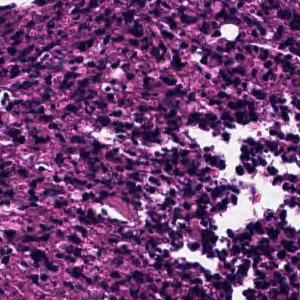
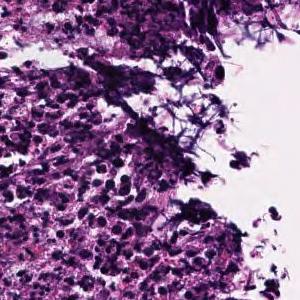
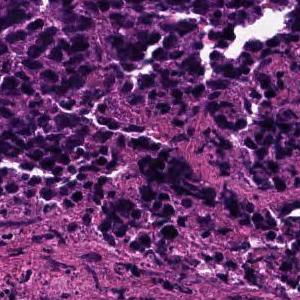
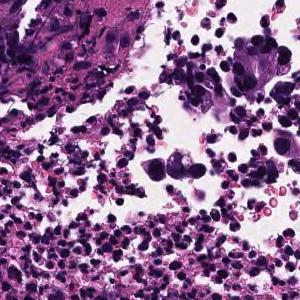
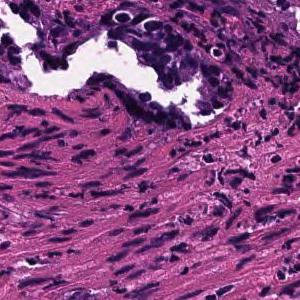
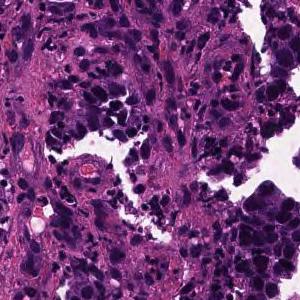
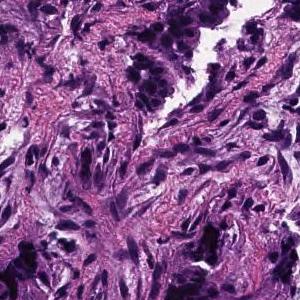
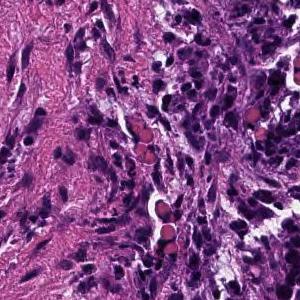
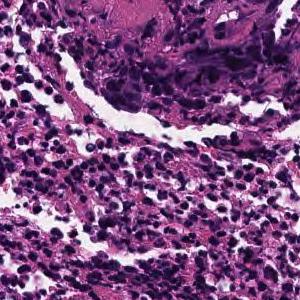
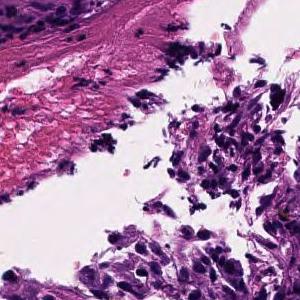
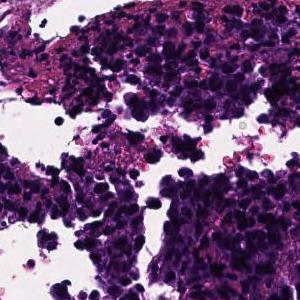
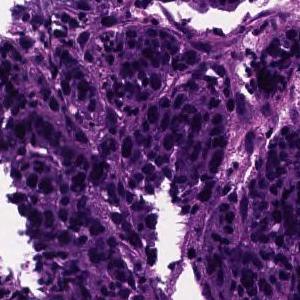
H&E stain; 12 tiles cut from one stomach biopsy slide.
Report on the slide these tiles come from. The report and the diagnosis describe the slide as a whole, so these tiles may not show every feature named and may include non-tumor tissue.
In the superficial epithelium, tumor tissue that invades by forming medium-sized to small, irregular ducts is observed. moderately differentiated tubular adenocarcinoma.
